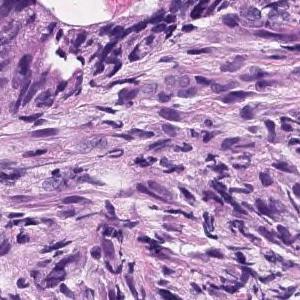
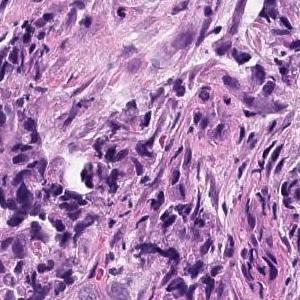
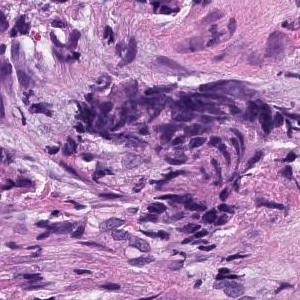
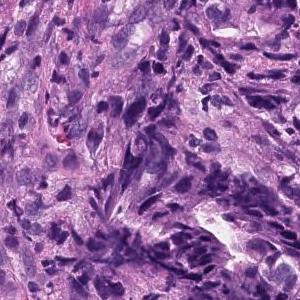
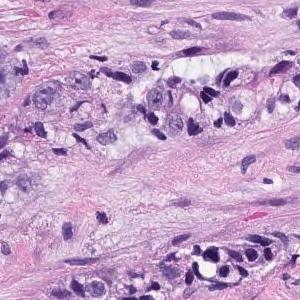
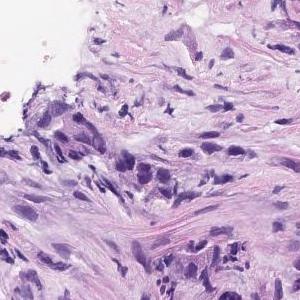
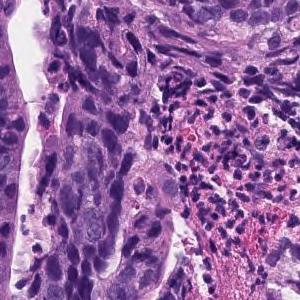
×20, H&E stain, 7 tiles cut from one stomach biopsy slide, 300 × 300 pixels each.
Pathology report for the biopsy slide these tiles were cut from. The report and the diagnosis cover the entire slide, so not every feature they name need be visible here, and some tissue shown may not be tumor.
Medium to small, irregular glandular ducts are formed in the superficial epithelium, and in some cases, the glandular ducts are fused to show solid alveolar lesions and infiltrating tumor tissue is observed. Moderately to poorly differentiated adenocarcinoma.
